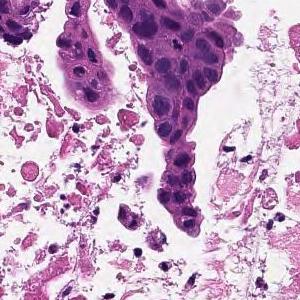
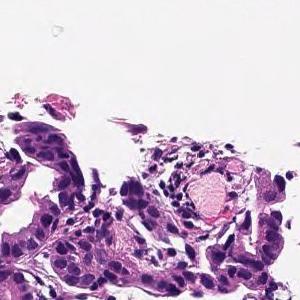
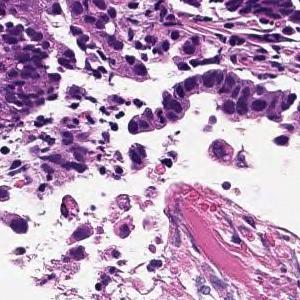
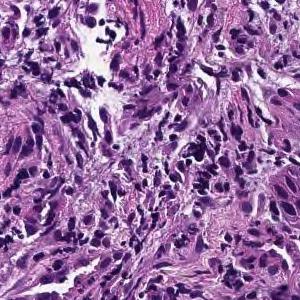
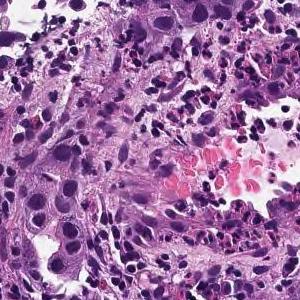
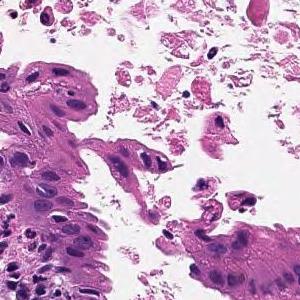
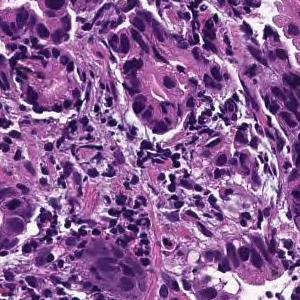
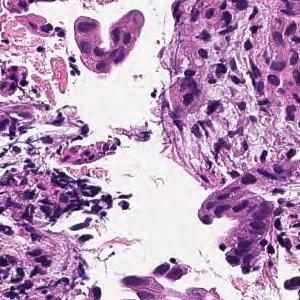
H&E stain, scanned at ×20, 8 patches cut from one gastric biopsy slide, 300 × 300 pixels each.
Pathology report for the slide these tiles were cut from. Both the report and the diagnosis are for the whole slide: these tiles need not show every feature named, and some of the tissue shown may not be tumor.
In the superficial epithelium, tumor tissue that invades by forming medium-sized to small, irregular ducts is observed. moderately differentiated tubular adenocarcinoma.
